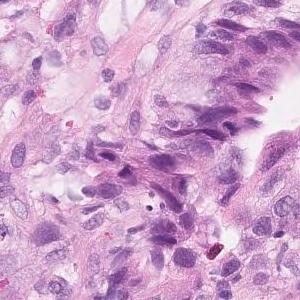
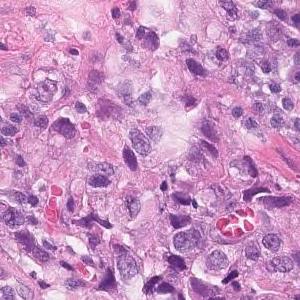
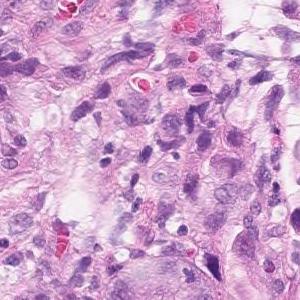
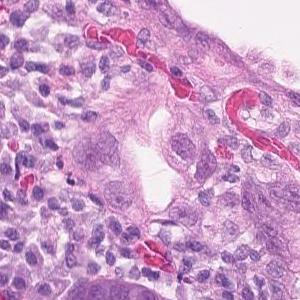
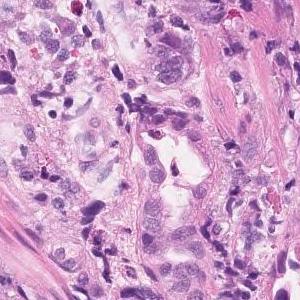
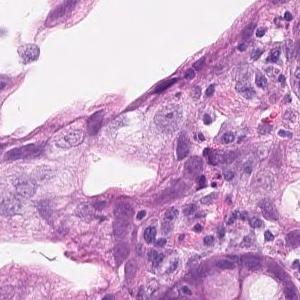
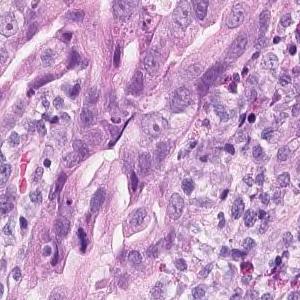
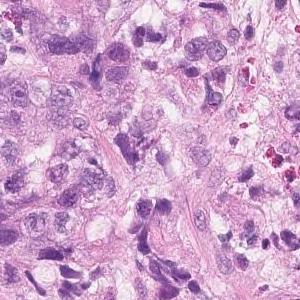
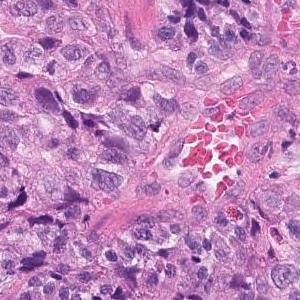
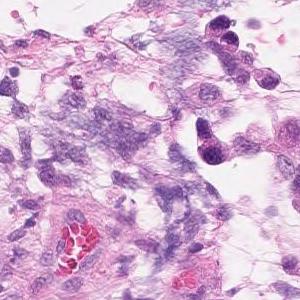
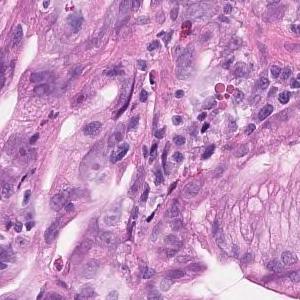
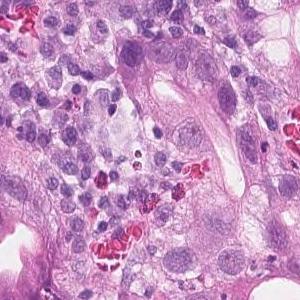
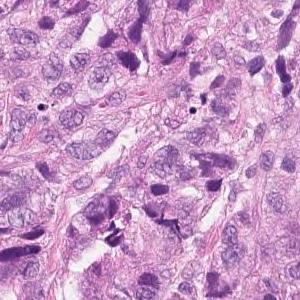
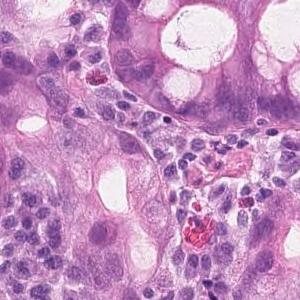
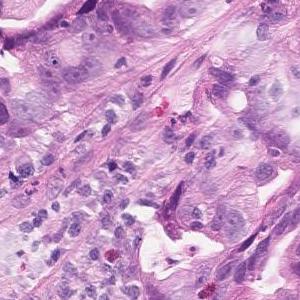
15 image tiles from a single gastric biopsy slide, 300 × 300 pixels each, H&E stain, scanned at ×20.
The pathologist's report on the biopsy slide these tiles were taken from. The findings and the diagnosis refer to the entire slide; these tiles show only part of it, possibly with non-tumor tissue, and may not show every feature named.
Tumor tissue showing dense, fused or diffuse, and infiltrative growth of small atypical ducts is observed. moderately differentiated tubular adenocarcinoma
